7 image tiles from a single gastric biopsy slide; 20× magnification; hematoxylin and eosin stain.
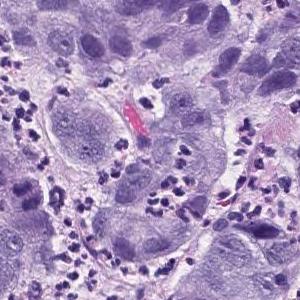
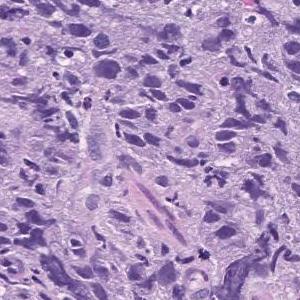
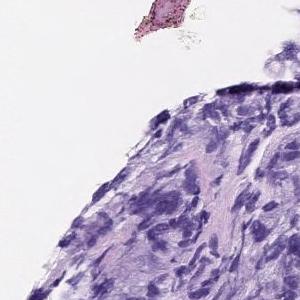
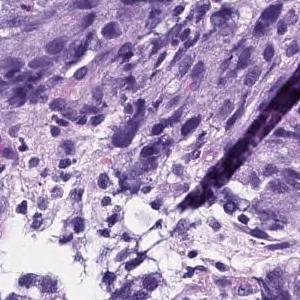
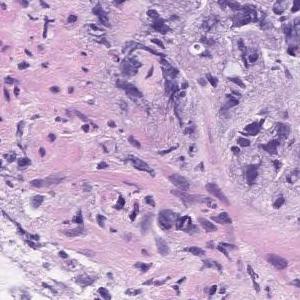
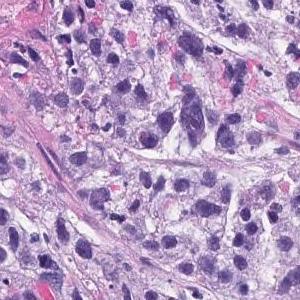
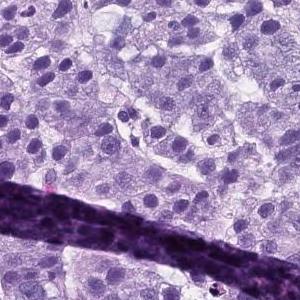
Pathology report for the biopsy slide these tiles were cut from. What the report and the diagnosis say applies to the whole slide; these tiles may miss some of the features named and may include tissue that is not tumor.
Atypical l cells with atypical nuclei forming solid vesicles or small irregular atypical ducts that proliferate in a complex manner. poorly differentiated adenocarcinoma, solid type, moderately differentiated tubular adenocarcinoma
The term "solid type" comes from the Japanese Classification of Gastric Carcinoma; the WHO 2019 equivalent is tubular adenocarcinoma, poorly differentiated.
